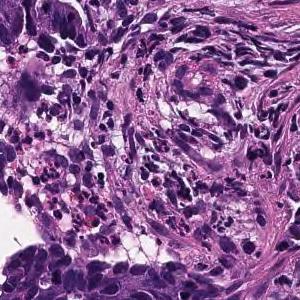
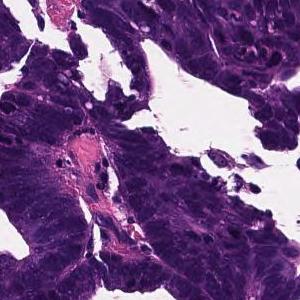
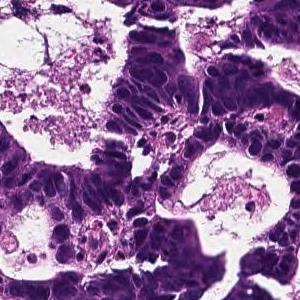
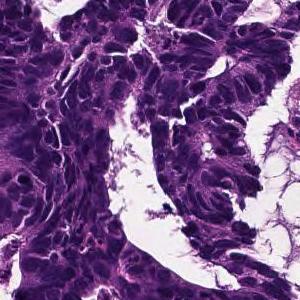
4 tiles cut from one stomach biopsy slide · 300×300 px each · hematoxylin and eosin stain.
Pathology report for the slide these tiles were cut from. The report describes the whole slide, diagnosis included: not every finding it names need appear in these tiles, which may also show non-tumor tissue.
In the superficial epithelium, tumor tissue that invades by forming medium-sized to small, irregular ducts is observed. moderately differentiated tubular adenocarcinoma.
